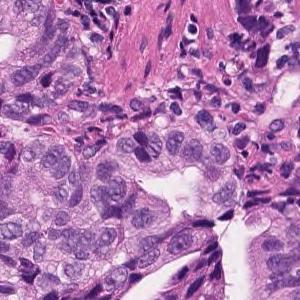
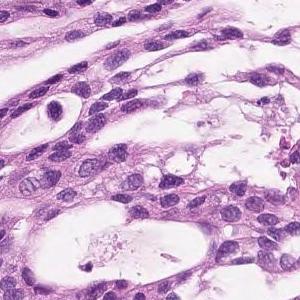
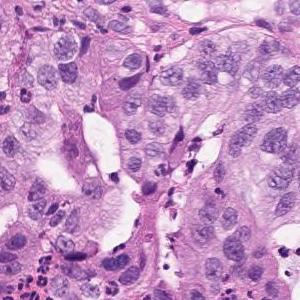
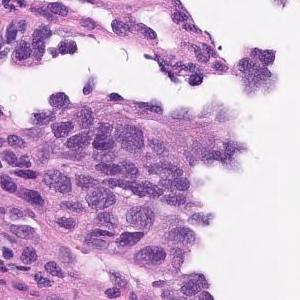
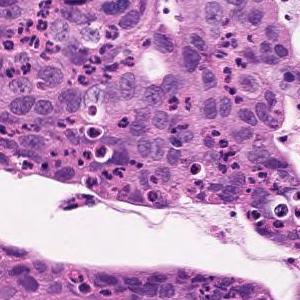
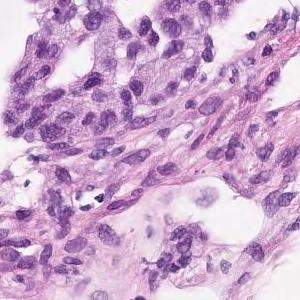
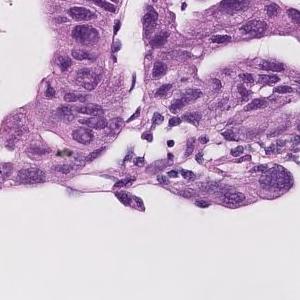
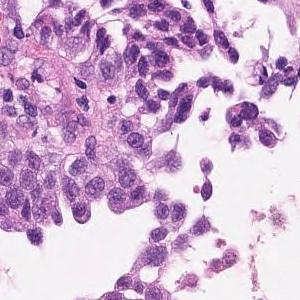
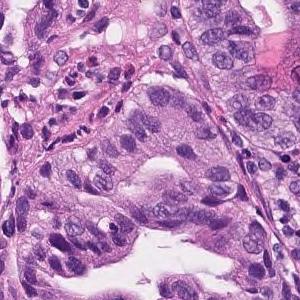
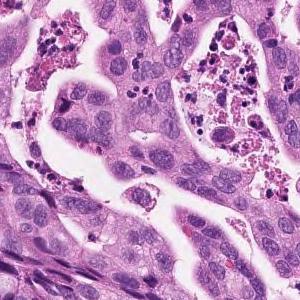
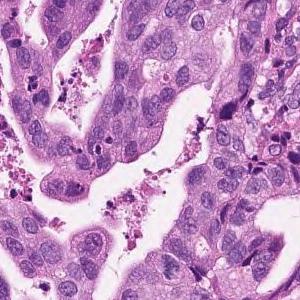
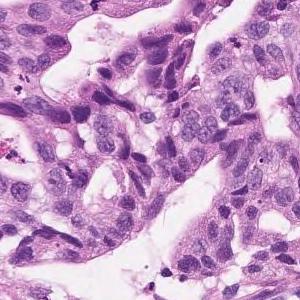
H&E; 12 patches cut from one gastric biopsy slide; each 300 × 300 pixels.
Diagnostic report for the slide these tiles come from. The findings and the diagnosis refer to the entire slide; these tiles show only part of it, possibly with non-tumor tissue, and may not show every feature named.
Atypical epithelium forming papillary or sieving ducts and infiltrating growth is observed. Papillary adenocarcinoma.
